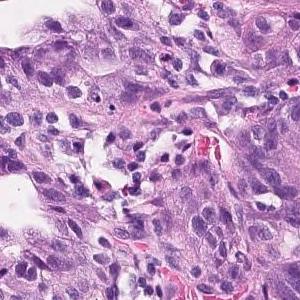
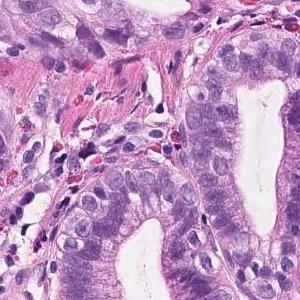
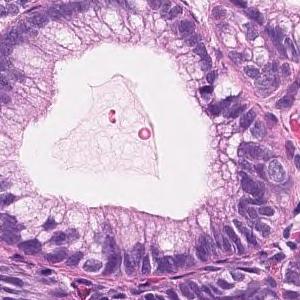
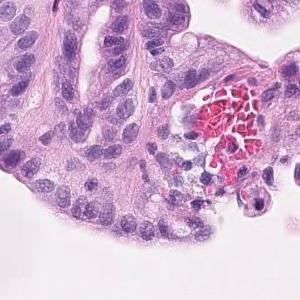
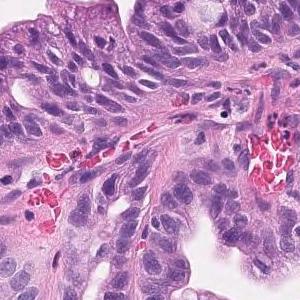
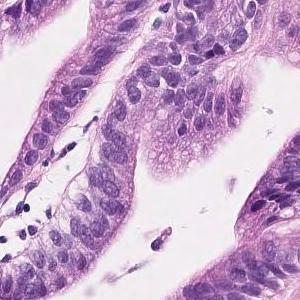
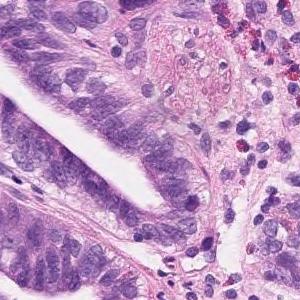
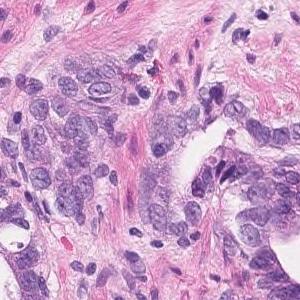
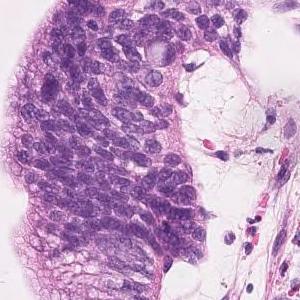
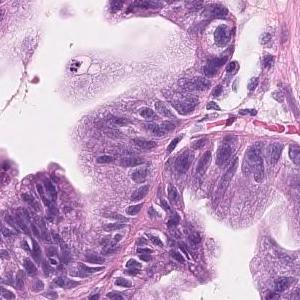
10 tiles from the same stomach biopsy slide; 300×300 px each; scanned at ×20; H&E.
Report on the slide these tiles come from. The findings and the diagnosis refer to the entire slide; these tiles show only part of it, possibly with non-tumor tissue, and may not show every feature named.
Tumor cells are large, highly columnar, large club-shaped nuclei, and are associated with chromatin aggregation. Papillary adenocarcinoma.
